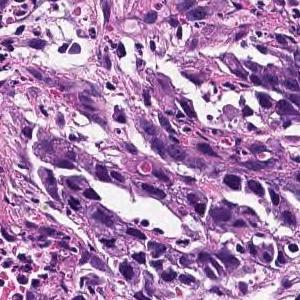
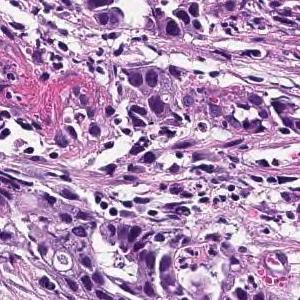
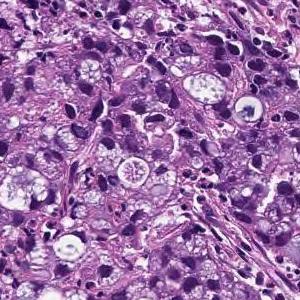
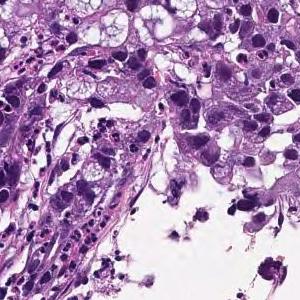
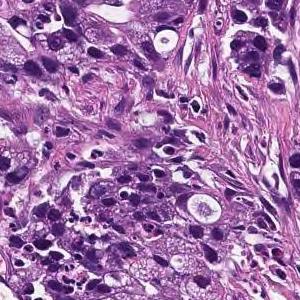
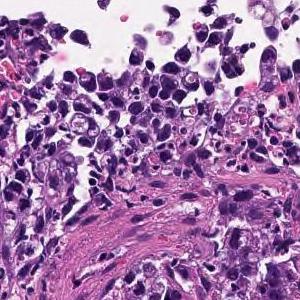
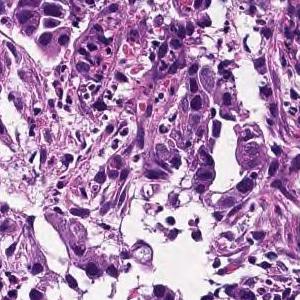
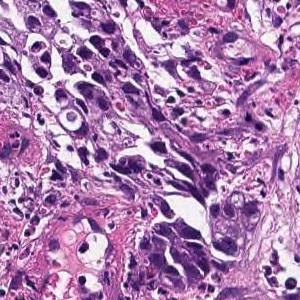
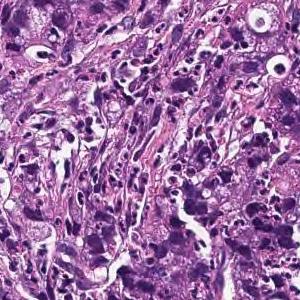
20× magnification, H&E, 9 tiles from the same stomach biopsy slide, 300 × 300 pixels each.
Pathology report for the biopsy slide these tiles were cut from. The report describes the whole slide, diagnosis included: not every finding it names need appear in these tiles, which may also show non-tumor tissue.
Medium to small, irregular glandular ducts are formed in the superficial epithelium, and in some cases, the glandular ducts are fused to show solid alveolar lesions and infiltrating tumor tissue is observed. Moderately to poorly differentiated adenocarcinoma.
